8 image tiles from a single gastric biopsy slide · 300 × 300 pixels each.
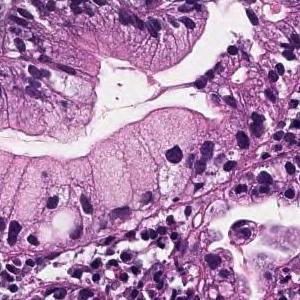
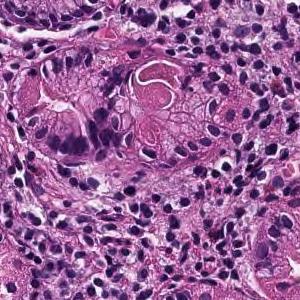
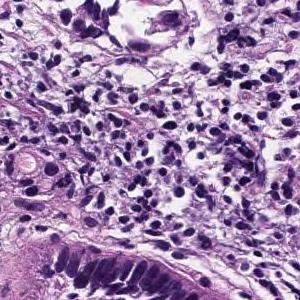
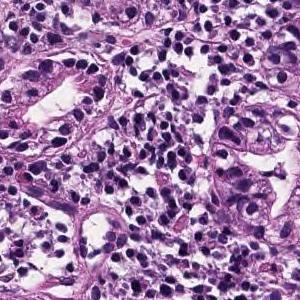
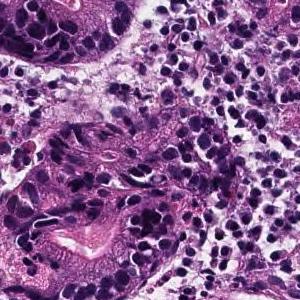
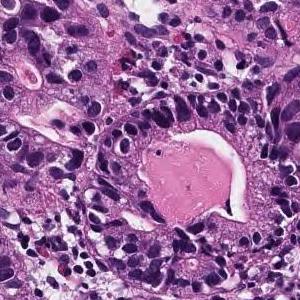
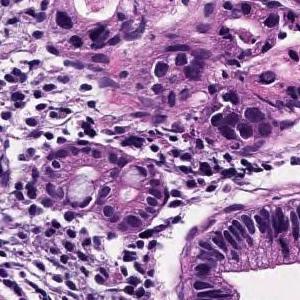
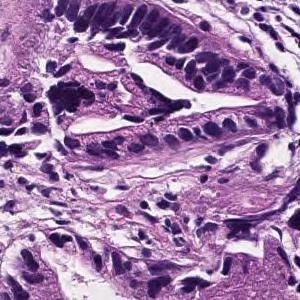
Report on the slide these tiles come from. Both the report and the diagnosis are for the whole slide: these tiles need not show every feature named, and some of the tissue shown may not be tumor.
From the superficial epithelium to the muscularis mucosae, tumor tissue consisting of medium-sized and irregular glandular ducts infiltrating is observed. Well differentiated tubular adenocarcinoma
